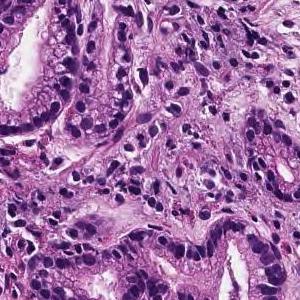
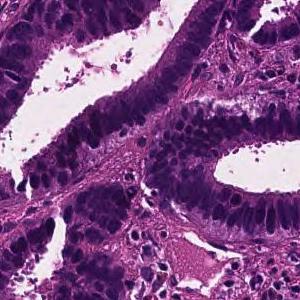
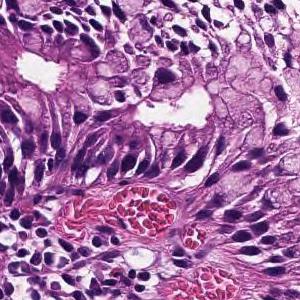
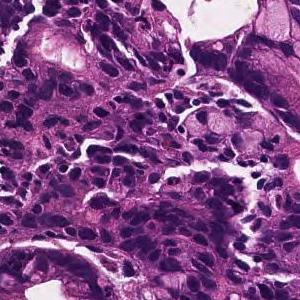
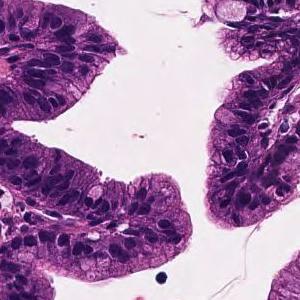
5 tiles cut from one stomach biopsy slide · 300×300 px each · H&E stain · ×20.
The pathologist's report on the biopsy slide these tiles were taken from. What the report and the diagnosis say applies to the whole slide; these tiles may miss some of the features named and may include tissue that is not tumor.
On the superficial epithelium, tumor tissue consisting of medium-sized and irregular glandular ducts partially fused and infiltrated is observed. Well to moderately differentiated tubular adenocarcinoma (well differentiated tubular adenocarcinoma-moderately differentiated tubular adenocarcinoma)
Histological subtype: Well to moderately differentiated tubular adenocarcinoma.
